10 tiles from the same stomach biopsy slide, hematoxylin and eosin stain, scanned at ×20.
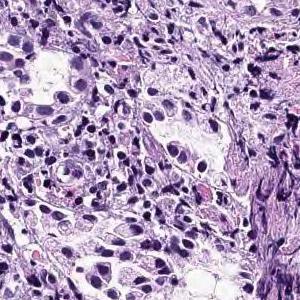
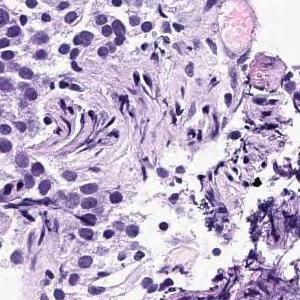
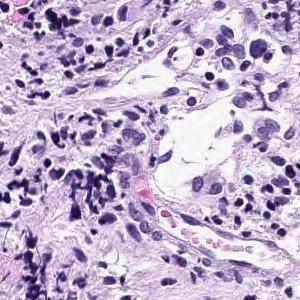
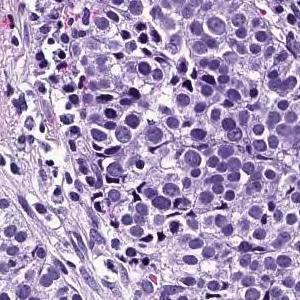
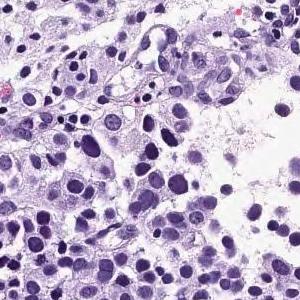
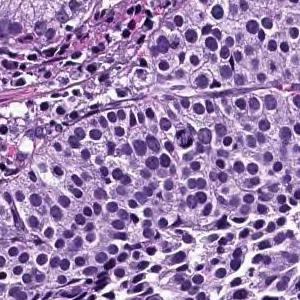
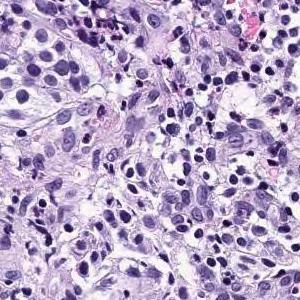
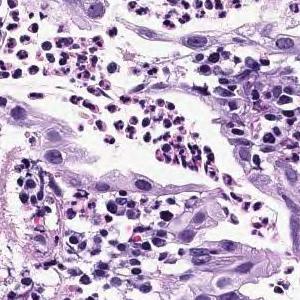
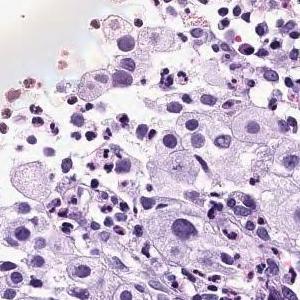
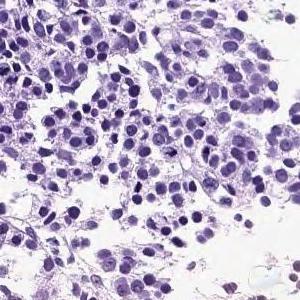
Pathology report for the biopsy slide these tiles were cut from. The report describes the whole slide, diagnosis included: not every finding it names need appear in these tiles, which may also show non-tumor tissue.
Large sheet-like or diffusely infiltrating tumor tissue is found in the superficial epithelium. Poorly differentiated adenocarcinoma, solid-type
Histological subtype: Poorly differentiated adenocarcinoma, solid type. This name comes from the Japanese Classification of Gastric Carcinoma; the WHO 2019 classification calls it tubular adenocarcinoma, poorly differentiated.
